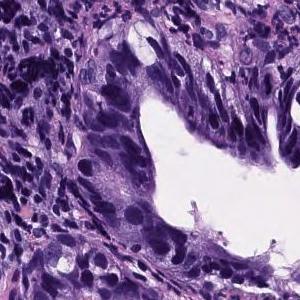
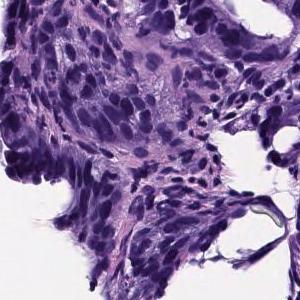
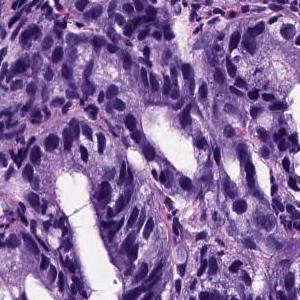
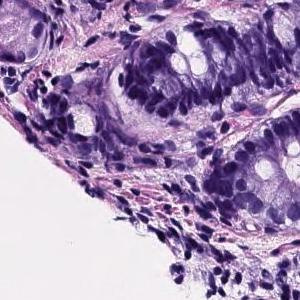
4 patches cut from one gastric biopsy slide, 300 × 300 pixels each, ×20, hematoxylin and eosin stain.
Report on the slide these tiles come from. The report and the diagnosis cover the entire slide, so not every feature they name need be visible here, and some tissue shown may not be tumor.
Large atypical cells which form medium to large ducts are proliferating. Well differentiated adenocarcinoma (well differentiated tubular adenocarcinoma)
Histologic type: Well differentiated tubular adenocarcinoma.
